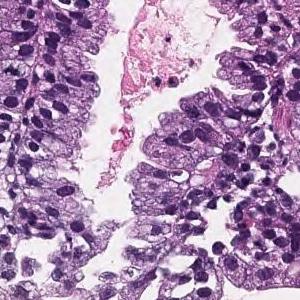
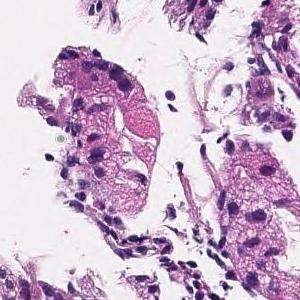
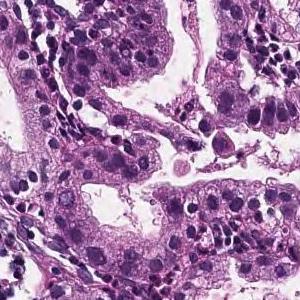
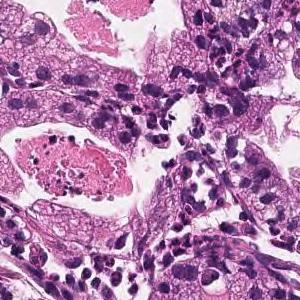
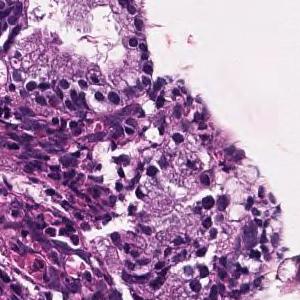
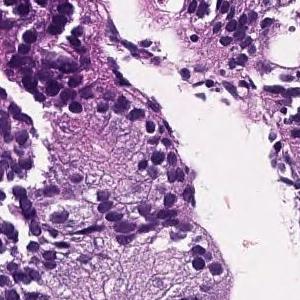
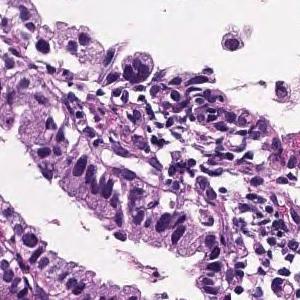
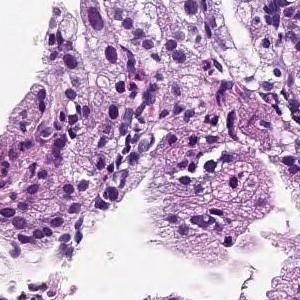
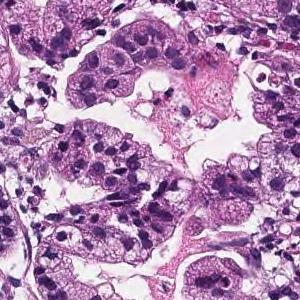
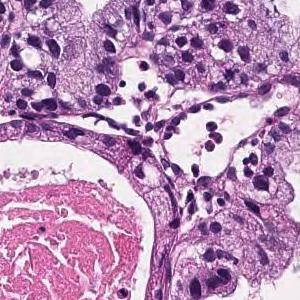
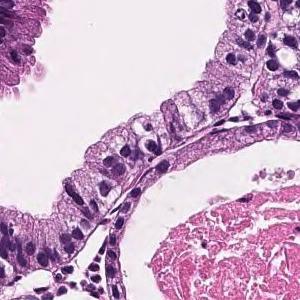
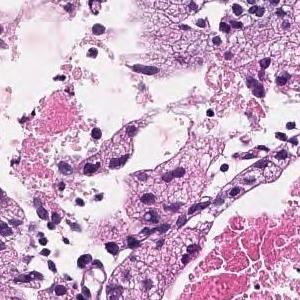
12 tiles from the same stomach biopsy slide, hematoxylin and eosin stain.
Pathology report for the slide these tiles were cut from. Both the report and the diagnosis are for the whole slide: these tiles need not show every feature named, and some of the tissue shown may not be tumor.
In the superficial epithelium, tumor tissue that infiltrates by forming medium-sized papillary or small irregular ducts is observed. Papillary adenocarcinoma
